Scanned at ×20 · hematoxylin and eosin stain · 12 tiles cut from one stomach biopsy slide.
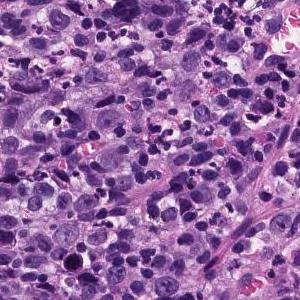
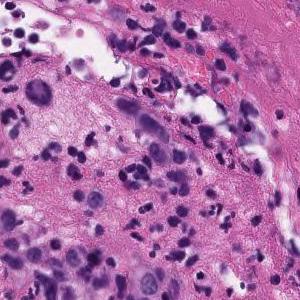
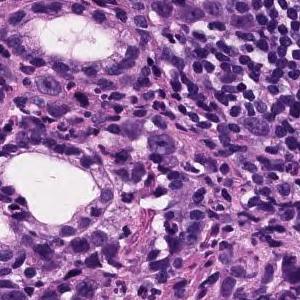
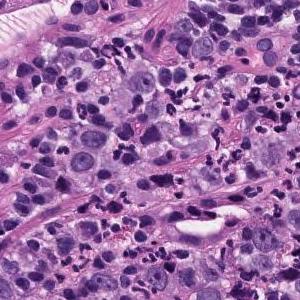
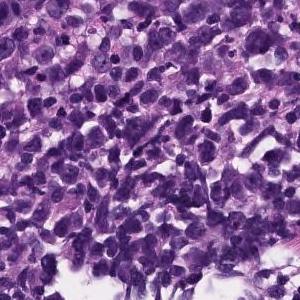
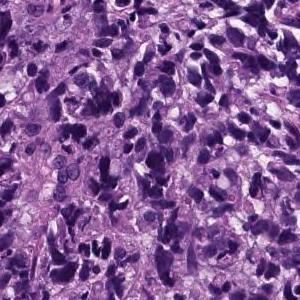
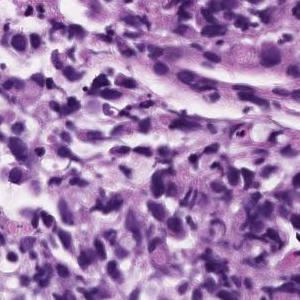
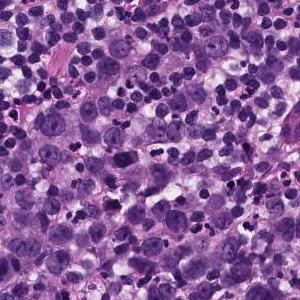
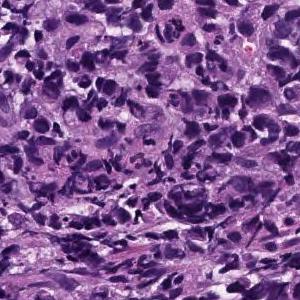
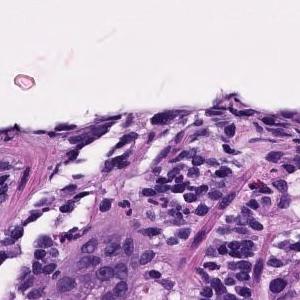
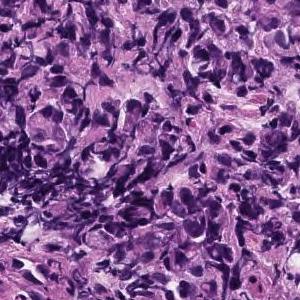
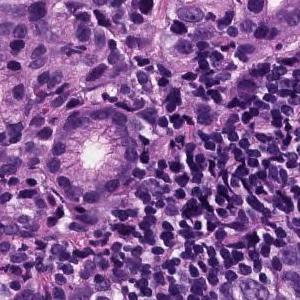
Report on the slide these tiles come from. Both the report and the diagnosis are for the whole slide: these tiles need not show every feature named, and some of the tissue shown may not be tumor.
Poorly differentiated, solid adenocarcinoma (poorly differentiated adenocarcinoma, solid type) with tumor tissue diffusely infiltrated with atypical epithelial cells
Histological subtype: Poorly differentiated adenocarcinoma, solid type (Japanese Classification of Gastric Carcinoma). The WHO 2019 equivalent is tubular adenocarcinoma, poorly differentiated.
